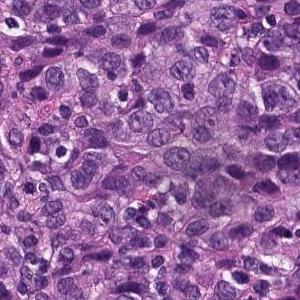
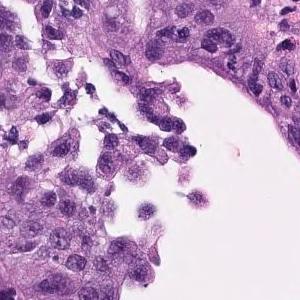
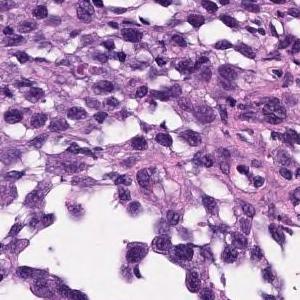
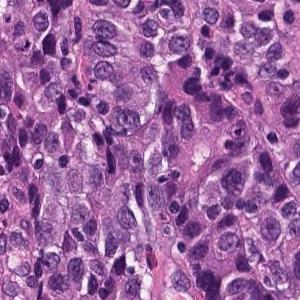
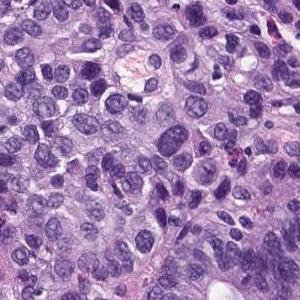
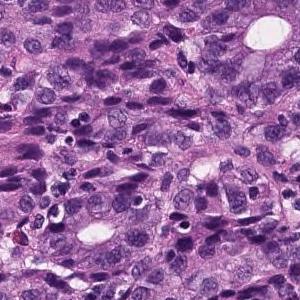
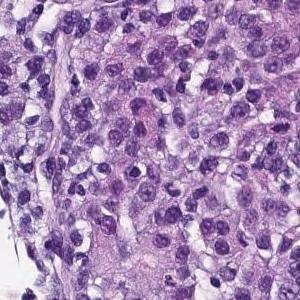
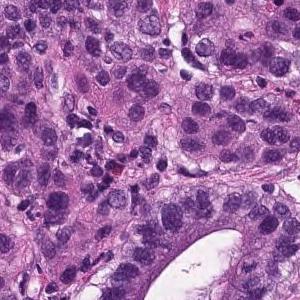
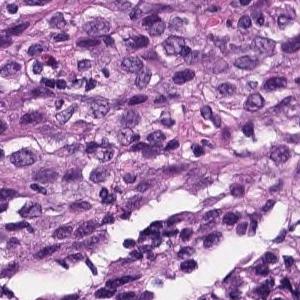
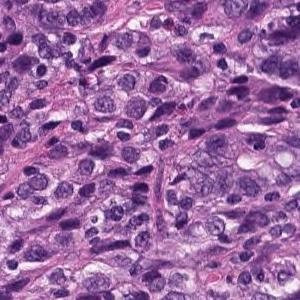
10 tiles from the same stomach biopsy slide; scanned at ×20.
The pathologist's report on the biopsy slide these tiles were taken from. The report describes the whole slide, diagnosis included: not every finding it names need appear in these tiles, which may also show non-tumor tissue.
In the superficial epithelium, tumor tissue that invades by forming medium-sized to small, irregular ducts is observed. Moderately differentiated adenocarcinoma.
Classified as moderately differentiated tubular adenocarcinoma.
